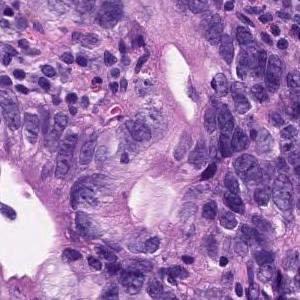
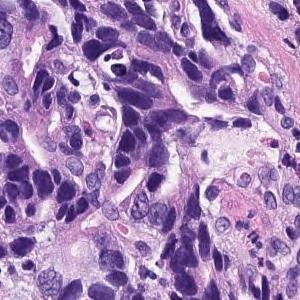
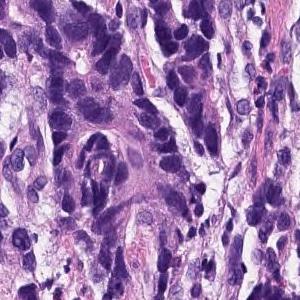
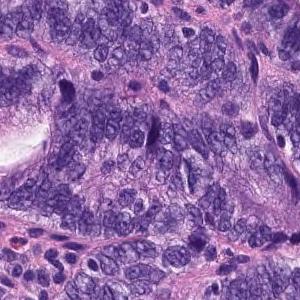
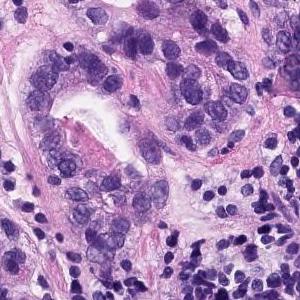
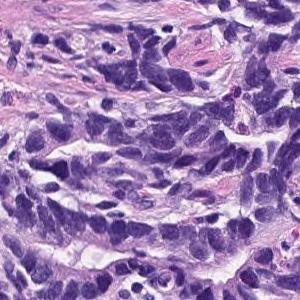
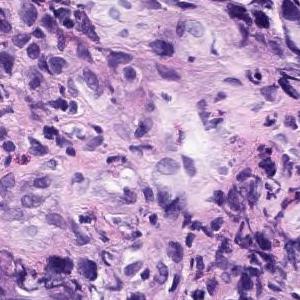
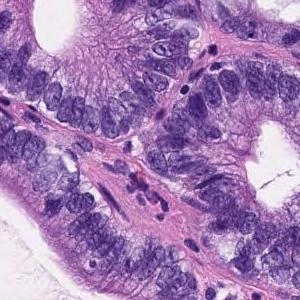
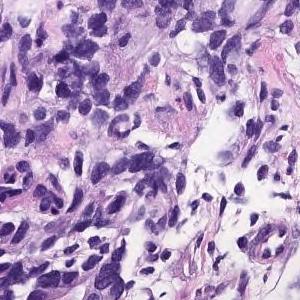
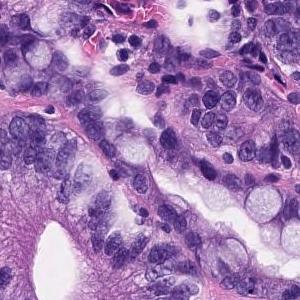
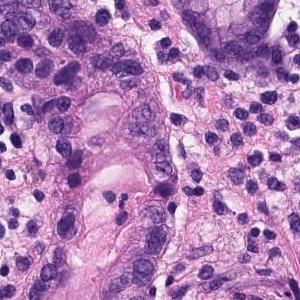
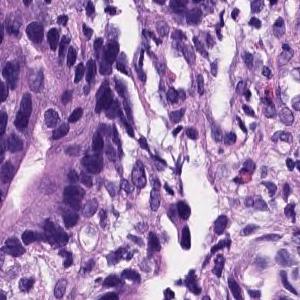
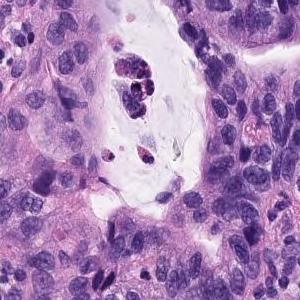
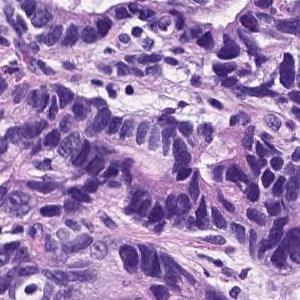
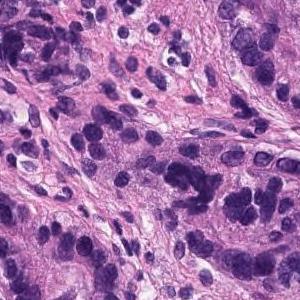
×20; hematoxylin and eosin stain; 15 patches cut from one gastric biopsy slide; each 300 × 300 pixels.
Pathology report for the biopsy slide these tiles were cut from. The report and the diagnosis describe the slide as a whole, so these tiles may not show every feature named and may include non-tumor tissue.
On the superficial epithelium, tumor tissue consisting of images showing invasive growth with small, irregular tubules partially fused is observed. moderately differentiated tubular adenocarcinoma
